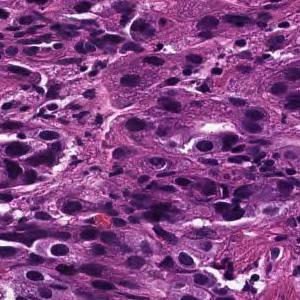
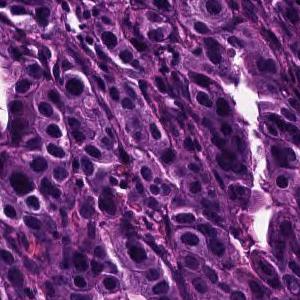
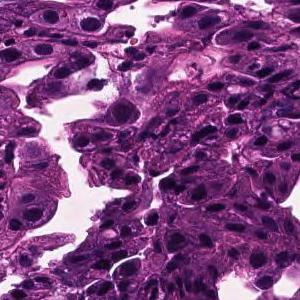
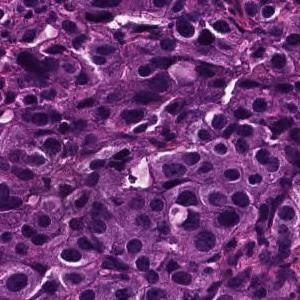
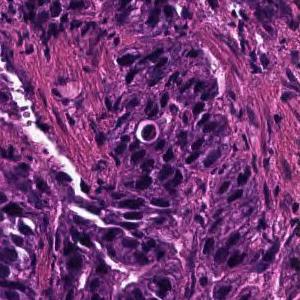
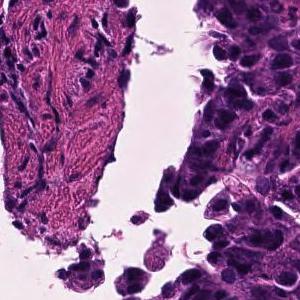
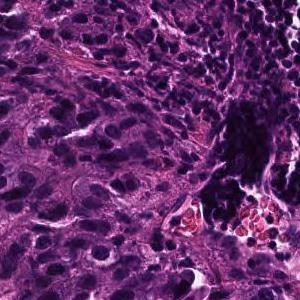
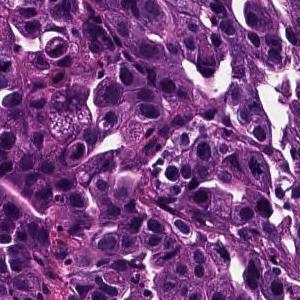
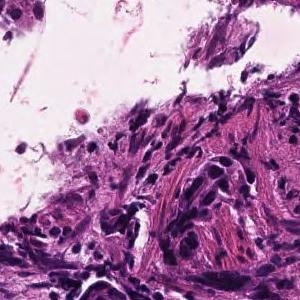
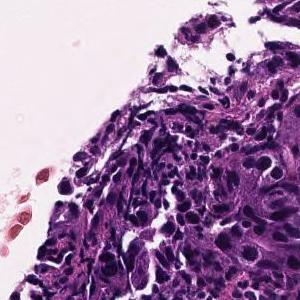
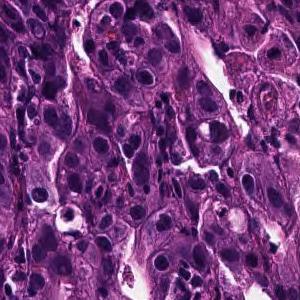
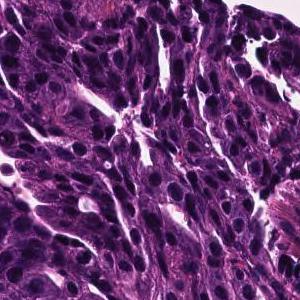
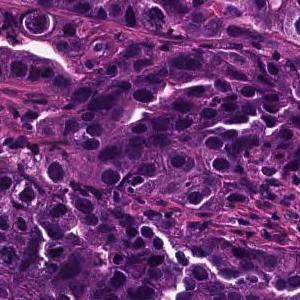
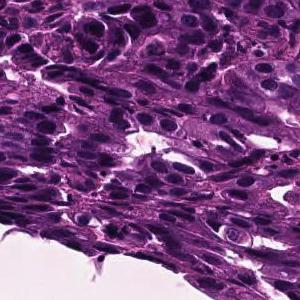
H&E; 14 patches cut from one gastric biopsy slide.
Pathology report for the biopsy slide these tiles were cut from. The report and the diagnosis cover the entire slide, so not every feature they name need be visible here, and some tissue shown may not be tumor.
Tumor tissue consisting of medium-sized, cord-like or irregular glandular fusion and infiltration is observed in the superficial epithelium. Poorly differentiated adenocarcinoma, non-solid type or moderately differentiated tubular adenocarcinoma
Tumor subtype: moderately to poorly differentiated adenocarcinoma.
The non-solid type named here is a Japanese Classification of Gastric Carcinoma category.
